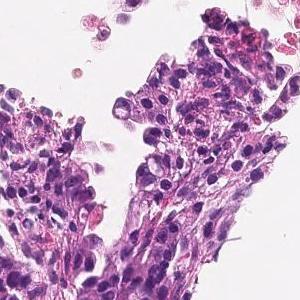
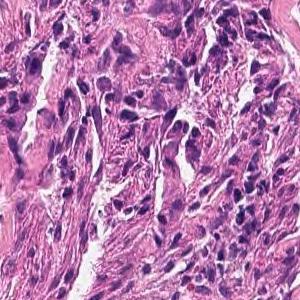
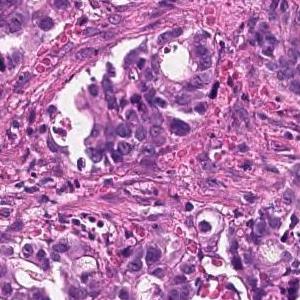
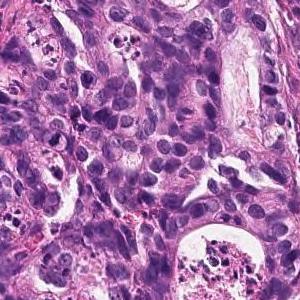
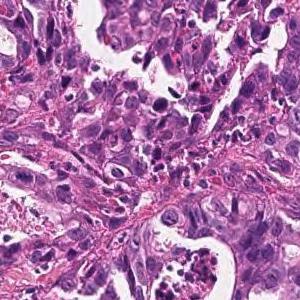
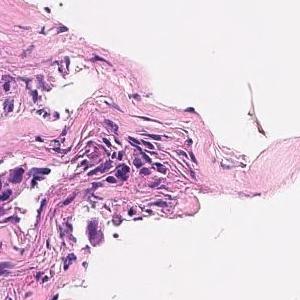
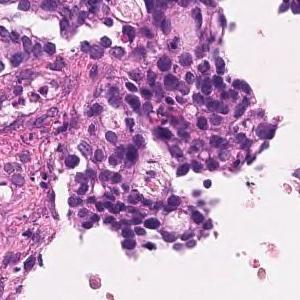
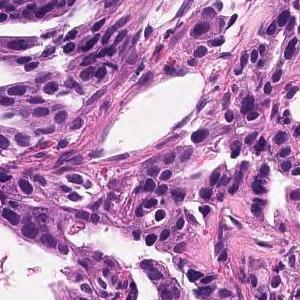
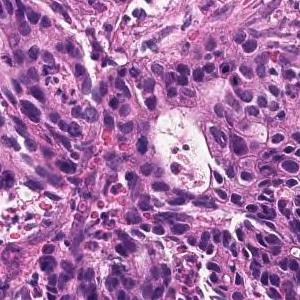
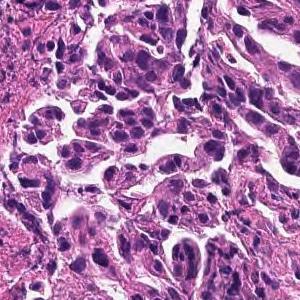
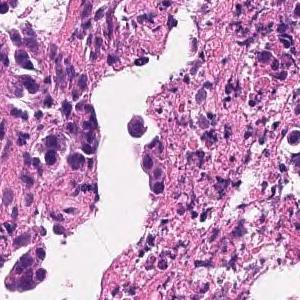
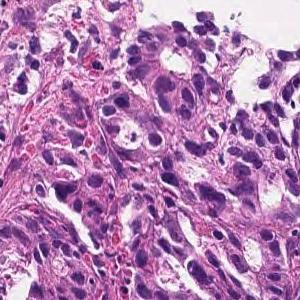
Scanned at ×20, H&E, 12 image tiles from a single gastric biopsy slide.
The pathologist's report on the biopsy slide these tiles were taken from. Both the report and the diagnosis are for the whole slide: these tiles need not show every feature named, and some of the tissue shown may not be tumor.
On the superficial epithelium, tumor tissue consisting of images of small to medium-sized and irregular tubules infiltrating with irregular fusion is observed. moderately differentiated tubular adenocarcinoma
